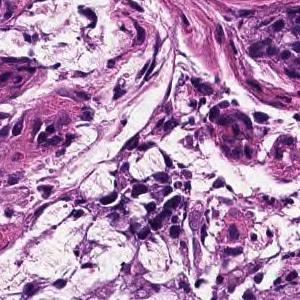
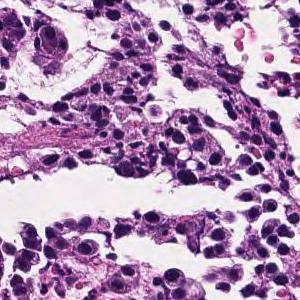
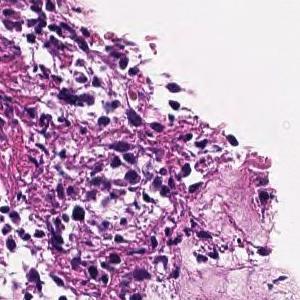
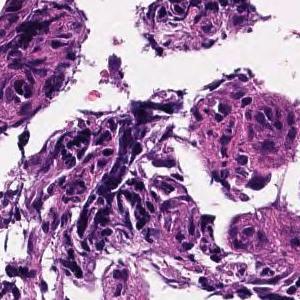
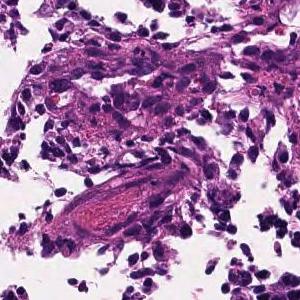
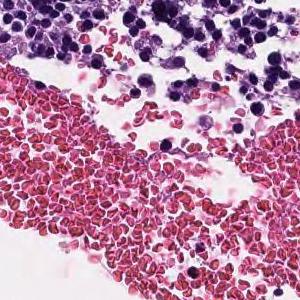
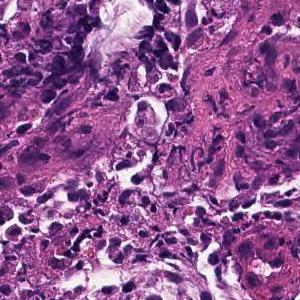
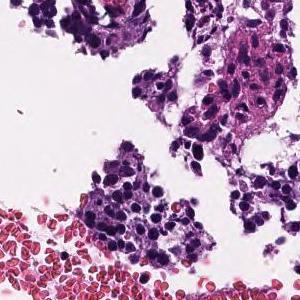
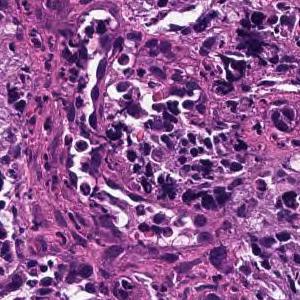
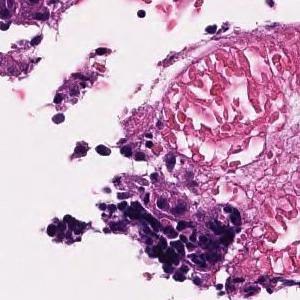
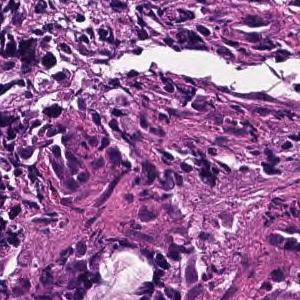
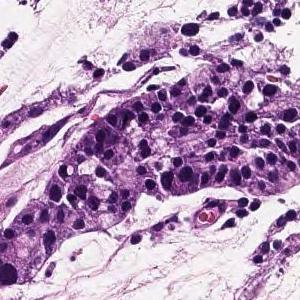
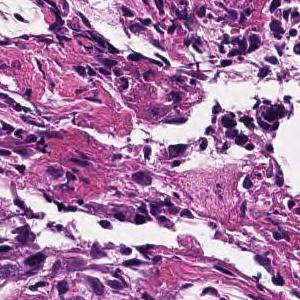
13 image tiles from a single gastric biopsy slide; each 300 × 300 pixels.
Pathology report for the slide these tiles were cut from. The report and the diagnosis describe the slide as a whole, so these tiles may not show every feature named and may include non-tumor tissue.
The superficial epithelium shows a large sheet-like shape, and some tumor tissue infiltrates with small irregular ducts. Poorly differentiated adenocarcinoma, solid-type
Subtype: Poorly differentiated adenocarcinoma, solid type (Japanese Classification of Gastric Carcinoma). The WHO 2019 equivalent is tubular adenocarcinoma, poorly differentiated.
